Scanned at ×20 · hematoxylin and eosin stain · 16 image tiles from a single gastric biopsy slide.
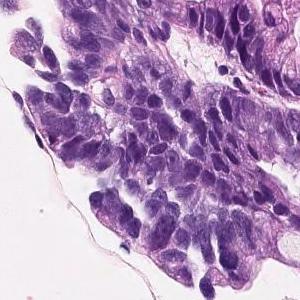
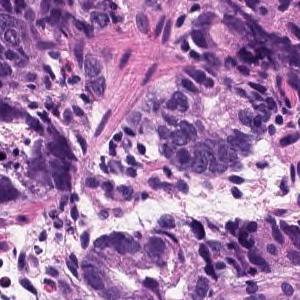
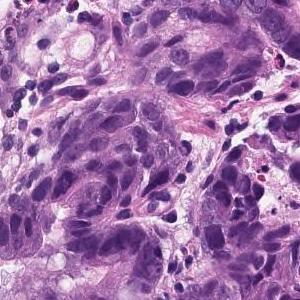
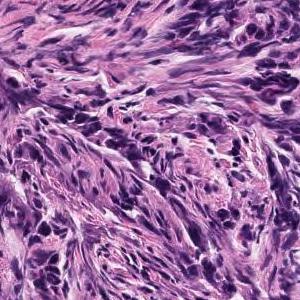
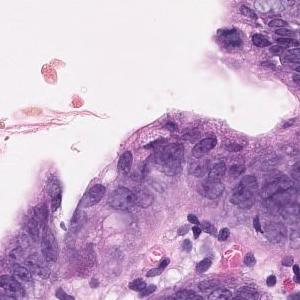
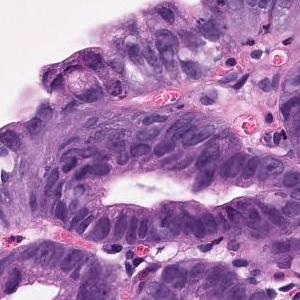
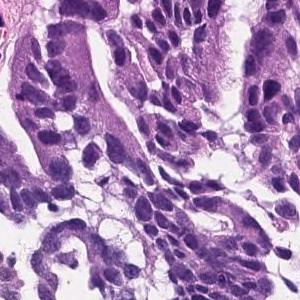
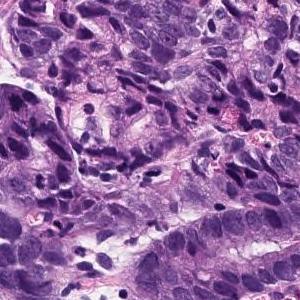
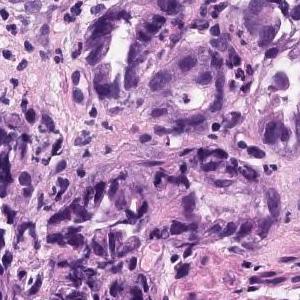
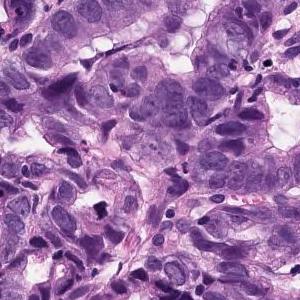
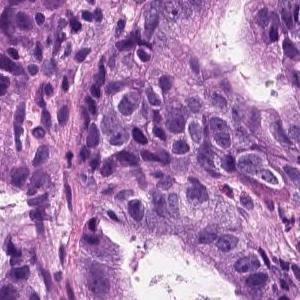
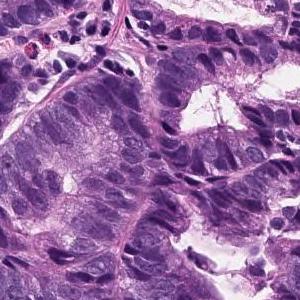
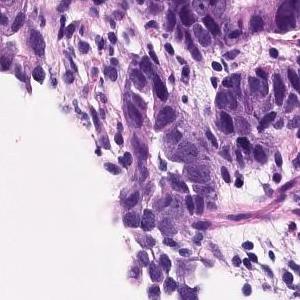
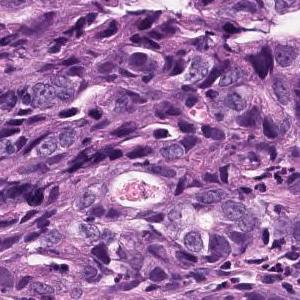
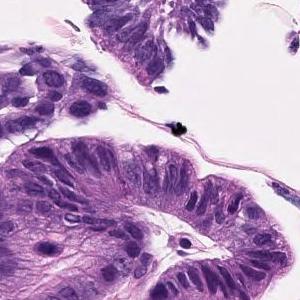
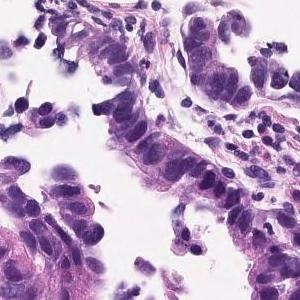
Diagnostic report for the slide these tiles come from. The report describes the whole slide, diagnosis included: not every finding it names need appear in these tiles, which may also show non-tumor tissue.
The swollen atypical epithelium of the nucleus forms an irregular ductal structure and proliferates. moderately differentiated tubular adenocarcinoma
